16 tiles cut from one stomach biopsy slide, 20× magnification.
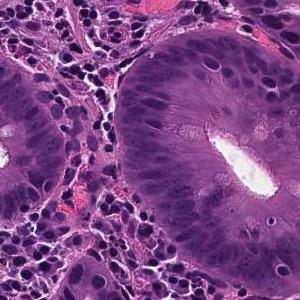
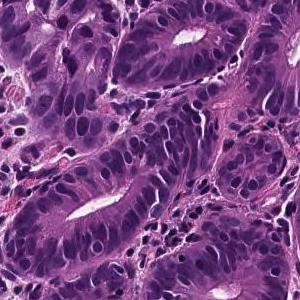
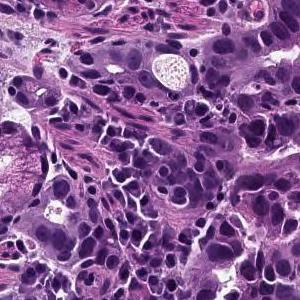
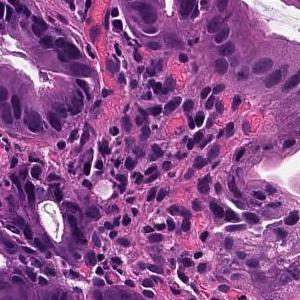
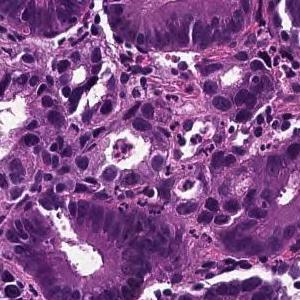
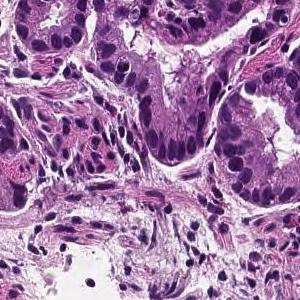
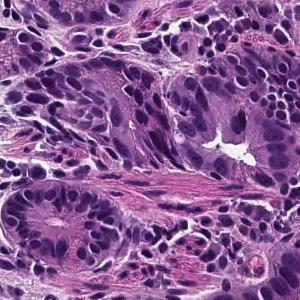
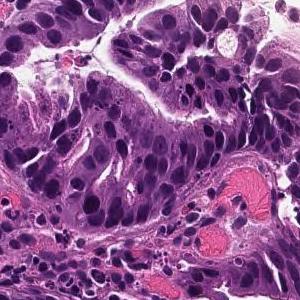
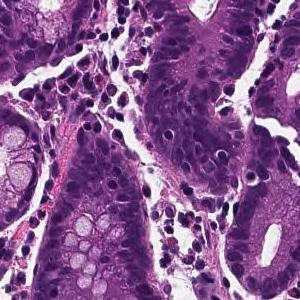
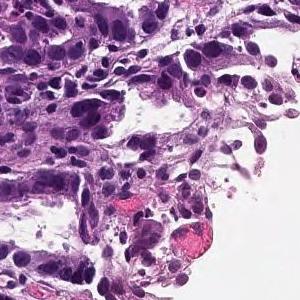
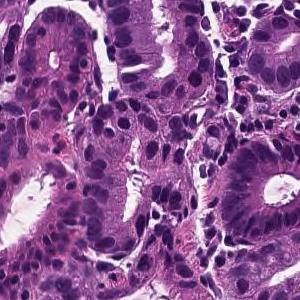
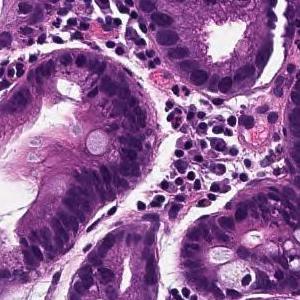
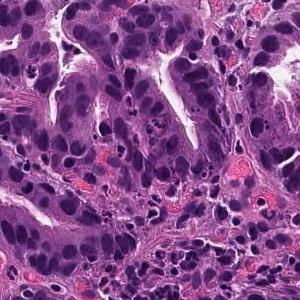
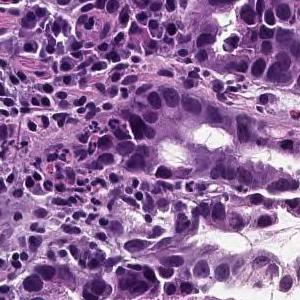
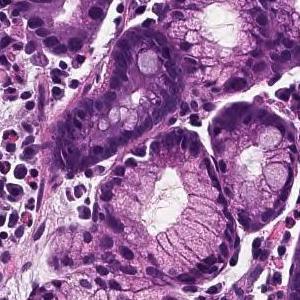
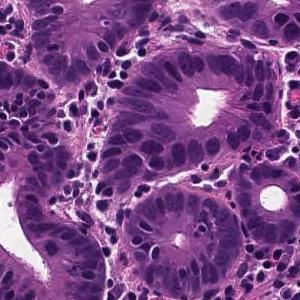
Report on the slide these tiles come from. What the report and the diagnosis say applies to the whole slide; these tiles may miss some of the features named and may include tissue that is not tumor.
From the superficial epithelium to the muscularis mucosae, tumor tissue consisting of medium-sized and irregular glandular ducts infiltrating is observed. Well differentiated tubular adenocarcinoma
